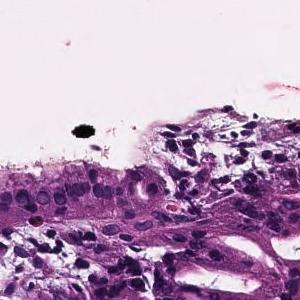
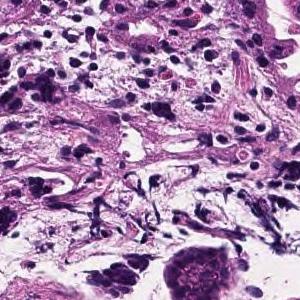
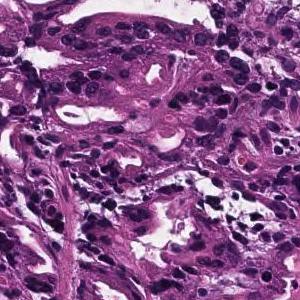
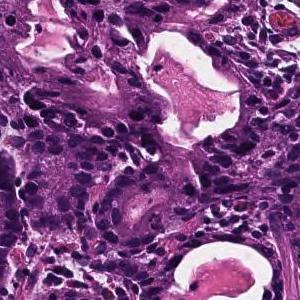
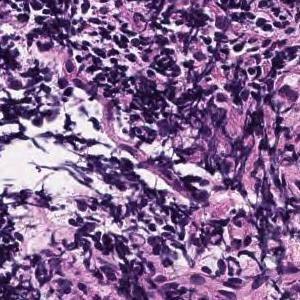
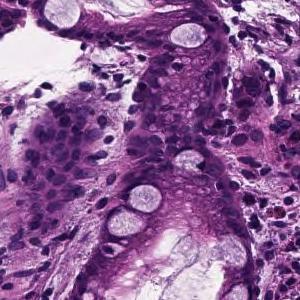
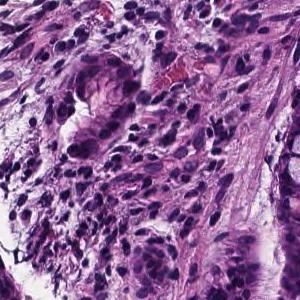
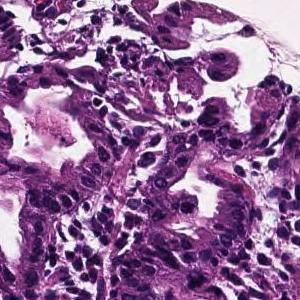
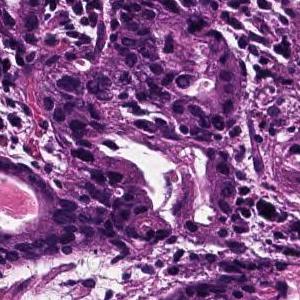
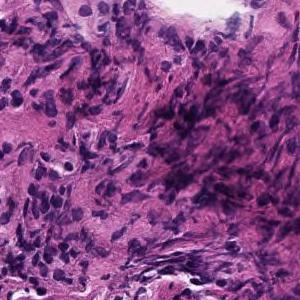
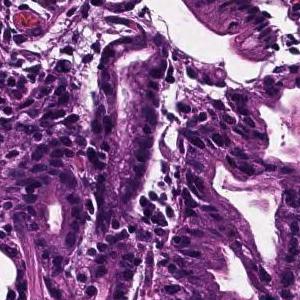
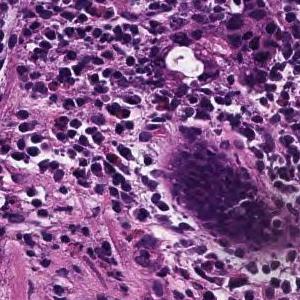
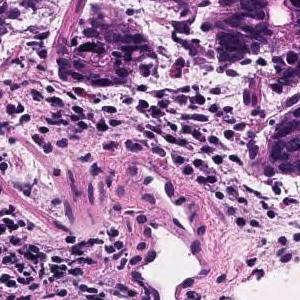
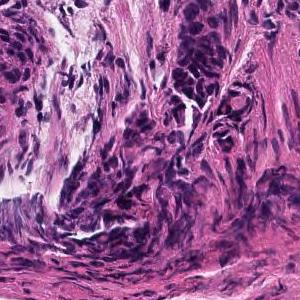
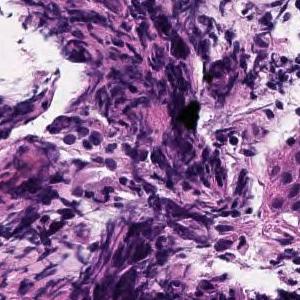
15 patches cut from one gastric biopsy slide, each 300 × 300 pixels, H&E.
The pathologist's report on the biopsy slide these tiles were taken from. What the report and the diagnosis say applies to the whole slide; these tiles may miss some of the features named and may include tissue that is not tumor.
In the superficial epithelium, tumor tissue infiltrated by partial fusion of medium-sized to small, irregular glandular ducts is observed. moderately differentiated tubular adenocarcinoma
